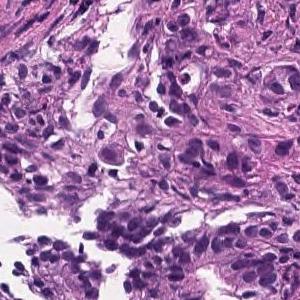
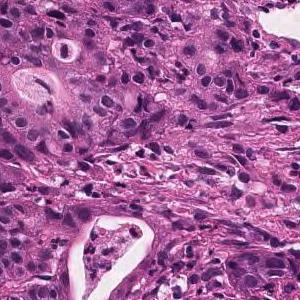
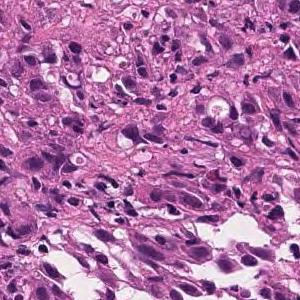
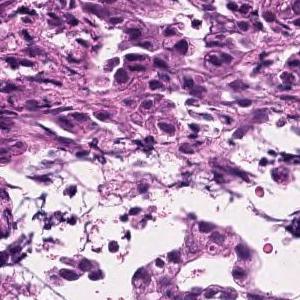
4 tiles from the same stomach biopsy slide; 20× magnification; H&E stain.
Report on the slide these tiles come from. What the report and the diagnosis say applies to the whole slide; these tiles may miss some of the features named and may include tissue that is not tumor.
Tumor tissue consisting of medium-sized, cord-like or irregular glandular infiltration is observed in the superficial epithelium. Poorly differentiated adenocarcinoma, non-solid type or moderately differentiated tubular adenocarcinoma
"Non-solid type" is a category of the Japanese Classification of Gastric Carcinoma.
